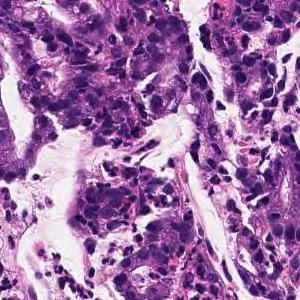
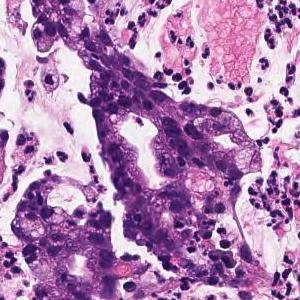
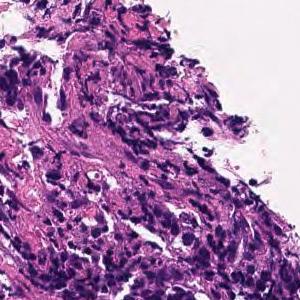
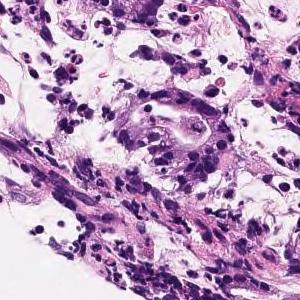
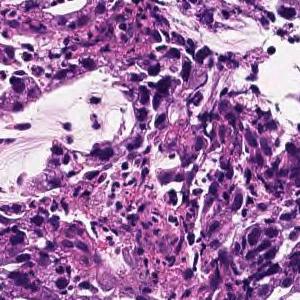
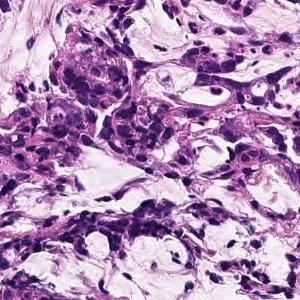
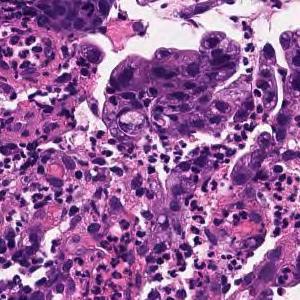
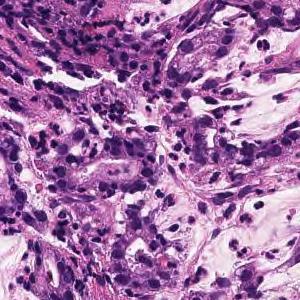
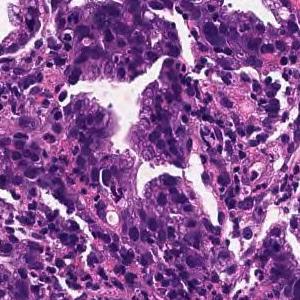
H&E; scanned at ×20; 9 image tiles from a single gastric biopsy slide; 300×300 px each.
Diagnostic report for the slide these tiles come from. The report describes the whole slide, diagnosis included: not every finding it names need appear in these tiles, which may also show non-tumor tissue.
On the superficial epithelium, tumor tissue consisting of large, irregular glandular ducts partially fused and infiltrated is observed. Well to moderately differentiated tubular adenocarcinoma (well differentiated tubular adenocarcinoma, moderately differentiated tubular adenocarcinoma)
Histologic type: Well to moderately differentiated tubular adenocarcinoma.
